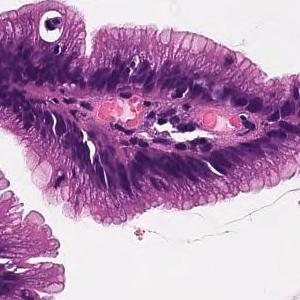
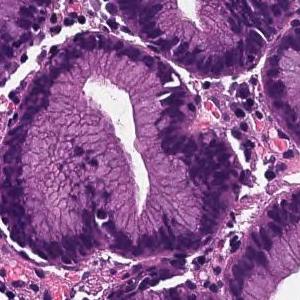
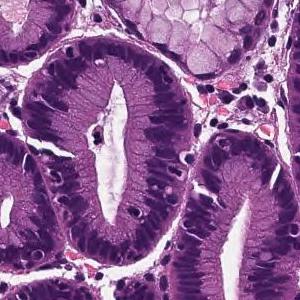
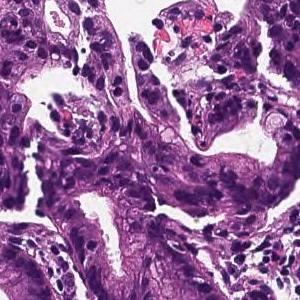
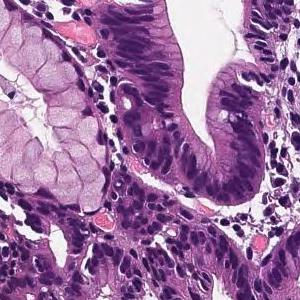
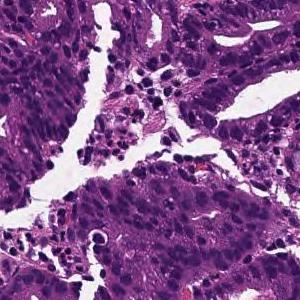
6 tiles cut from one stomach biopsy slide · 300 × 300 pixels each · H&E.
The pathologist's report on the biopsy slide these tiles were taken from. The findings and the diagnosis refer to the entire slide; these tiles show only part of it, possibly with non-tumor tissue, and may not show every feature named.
Cells with elliptical or atypical nuclei form dense ducts with relatively clear growth. Well differentiated tubular adenocarcinoma
